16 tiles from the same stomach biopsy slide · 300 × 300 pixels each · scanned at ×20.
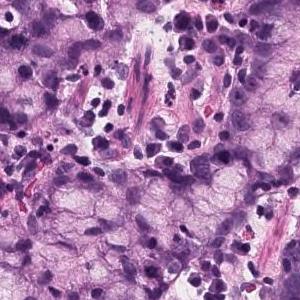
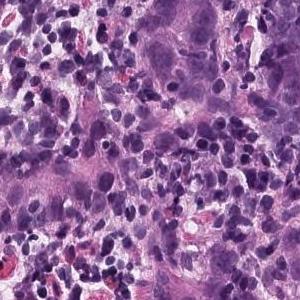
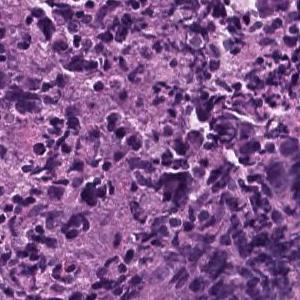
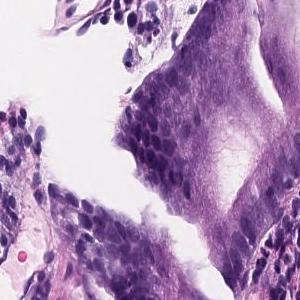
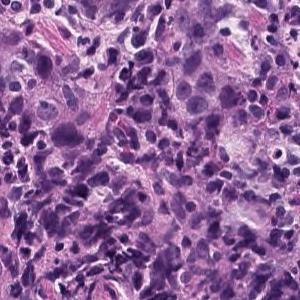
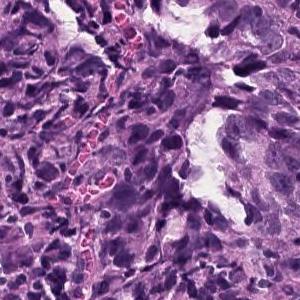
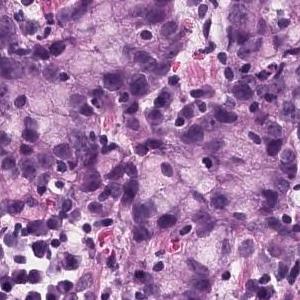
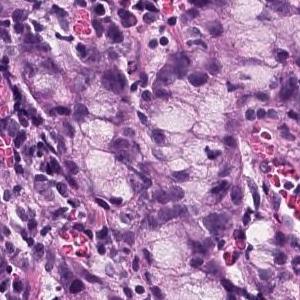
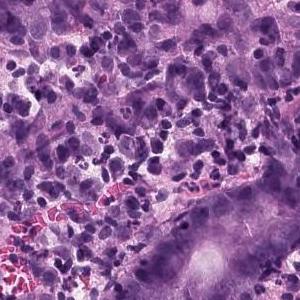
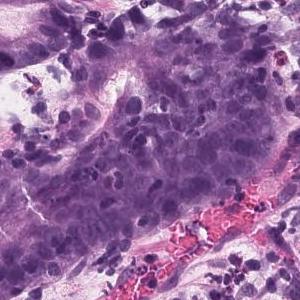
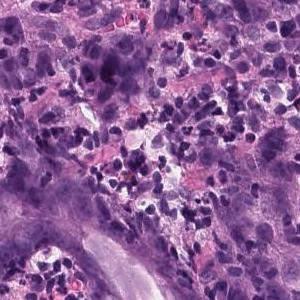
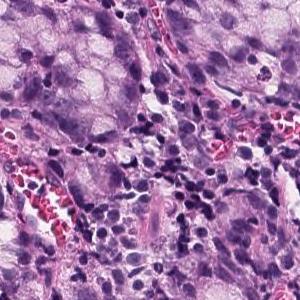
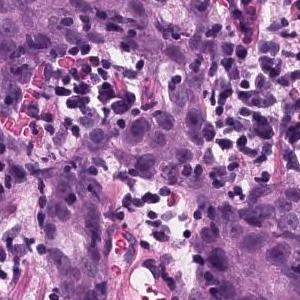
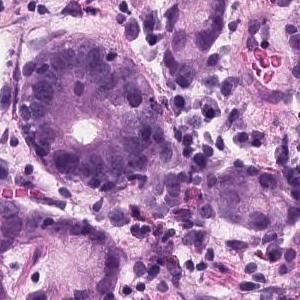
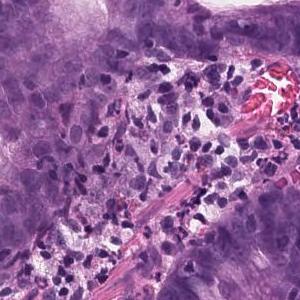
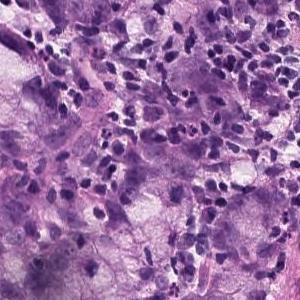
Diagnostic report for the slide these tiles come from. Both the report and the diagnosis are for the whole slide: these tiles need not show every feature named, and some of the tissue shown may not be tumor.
In the superficial epithelium, tumor tissue that invades by forming medium-sized to small, irregular ducts is observed. Moderately differentiated adenocarcinoma.
Histologic type: Moderately differentiated tubular adenocarcinoma.
